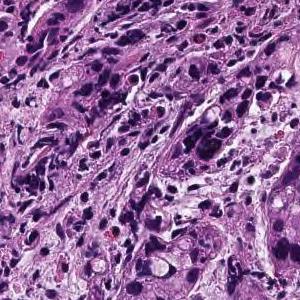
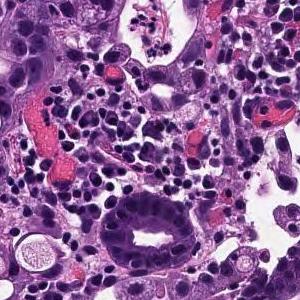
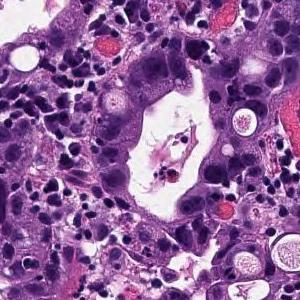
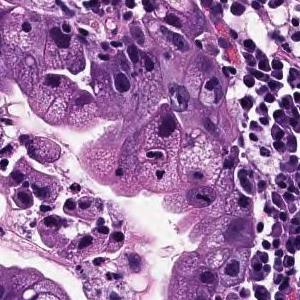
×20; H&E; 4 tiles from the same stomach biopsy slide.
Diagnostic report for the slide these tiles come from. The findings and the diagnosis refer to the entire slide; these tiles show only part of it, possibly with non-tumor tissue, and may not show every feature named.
Tumor tissue consisting of medium-sized, cord-like or irregular glandular infiltration is observed in the superficial epithelium. Poorly differentiated adenocarcinoma, non-solid type or moderately differentiated tubular adenocarcinoma
Histological subtype: Moderately to poorly differentiated adenocarcinoma.
"Non-solid type" is a category of the Japanese Classification of Gastric Carcinoma.
